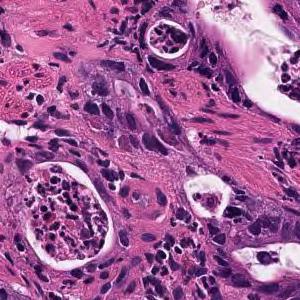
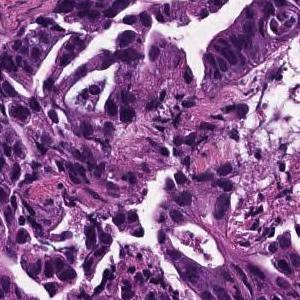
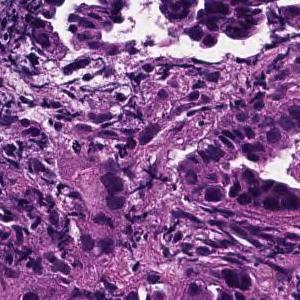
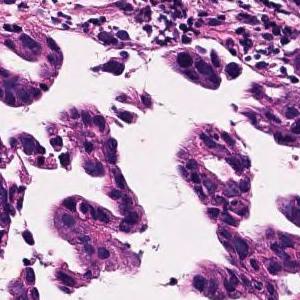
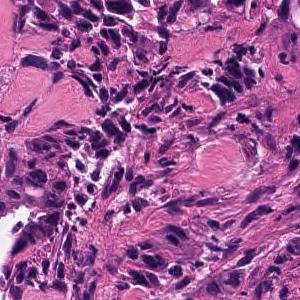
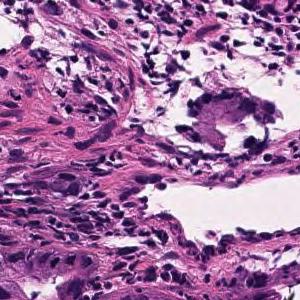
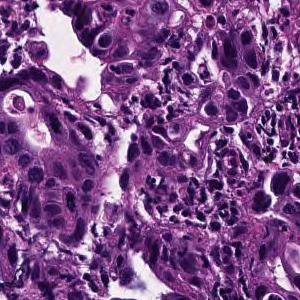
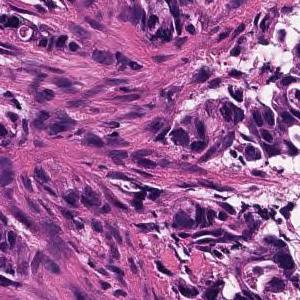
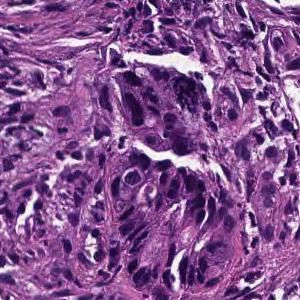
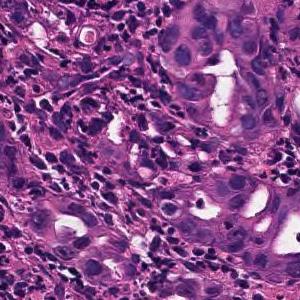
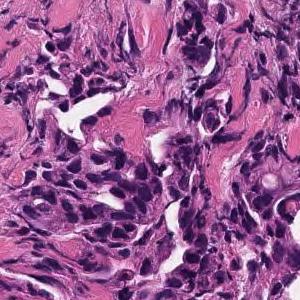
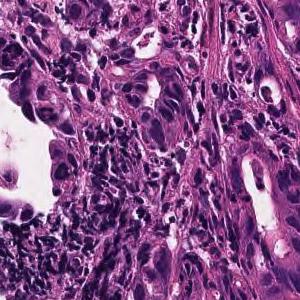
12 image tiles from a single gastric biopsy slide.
Pathology report for the slide these tiles were cut from. The report and the diagnosis cover the entire slide, so not every feature they name need be visible here, and some tissue shown may not be tumor.
In the superficial epithelium, medium-sized to small irregular glandular ducts are formed, and in some cases, the glandular ducts are fused or small cord-like infiltrating tumor tissue is observed. moderately differentiated tubular adenocarcinoma
